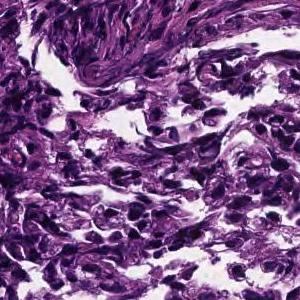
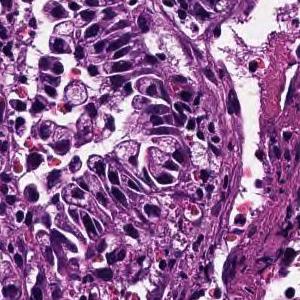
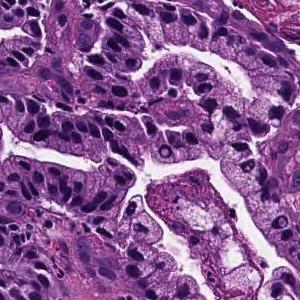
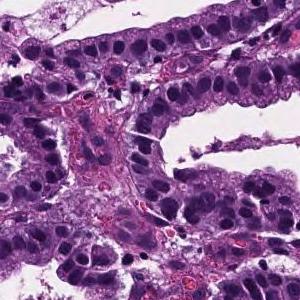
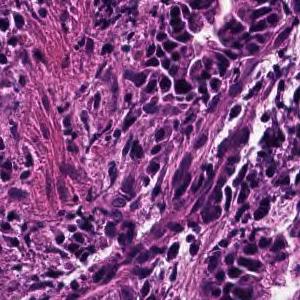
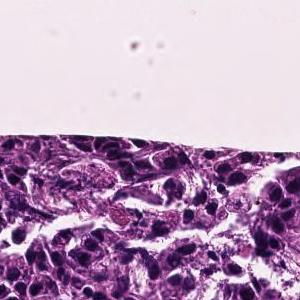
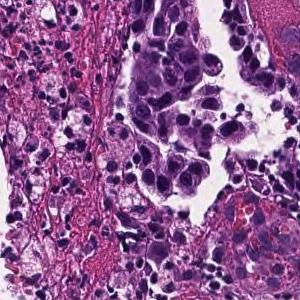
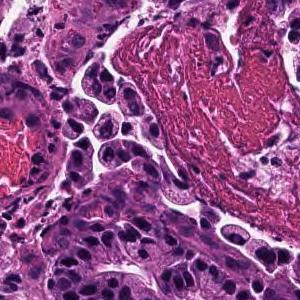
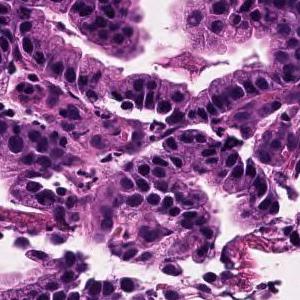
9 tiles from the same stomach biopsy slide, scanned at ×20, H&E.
The pathologist's report on the biopsy slide these tiles were taken from. The findings and the diagnosis refer to the entire slide; these tiles show only part of it, possibly with non-tumor tissue, and may not show every feature named.
Tumor cells are large, highly columnar, large club-shaped nuclei, and are associated with chromatin aggregation. Papillary adenocarcinoma.
